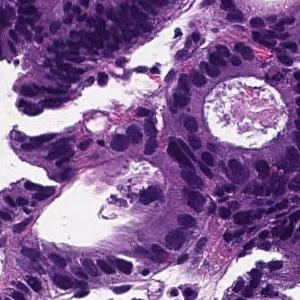
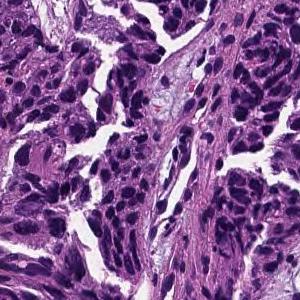
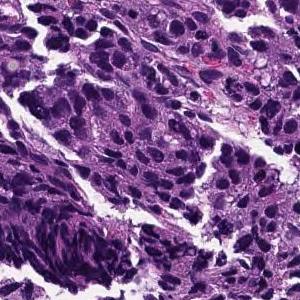
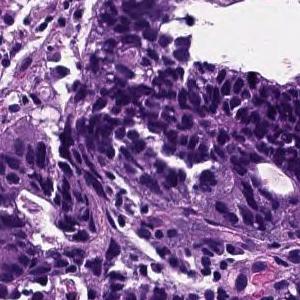
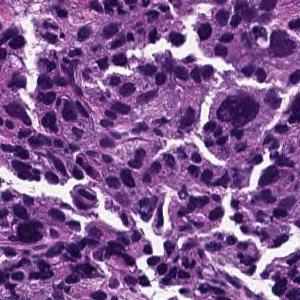
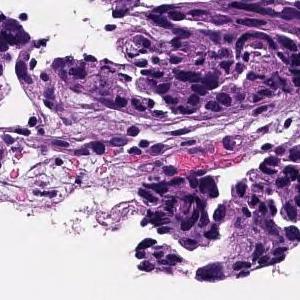
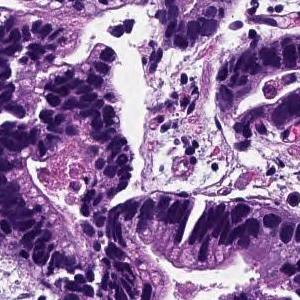
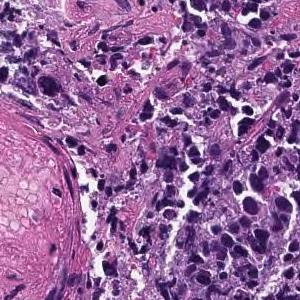
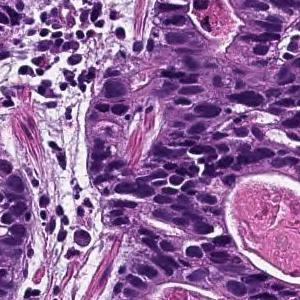
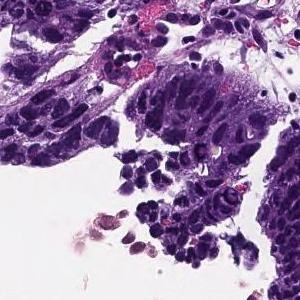
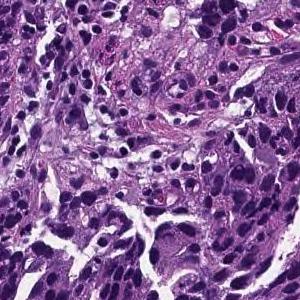
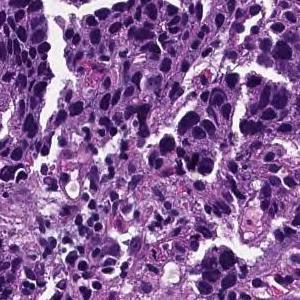
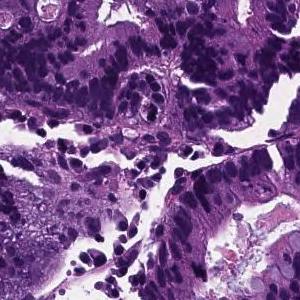
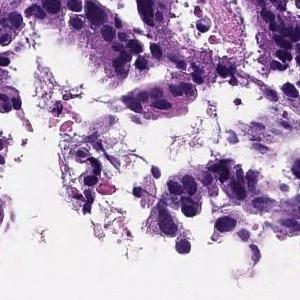
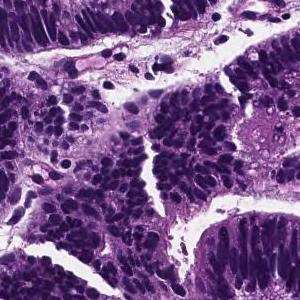
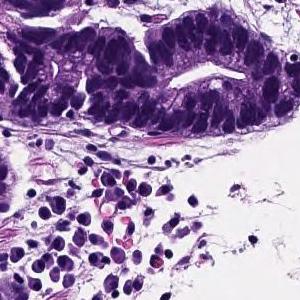
Hematoxylin and eosin stain; 16 image tiles from a single gastric biopsy slide.
Report on the slide these tiles come from. The report and the diagnosis describe the slide as a whole, so these tiles may not show every feature named and may include non-tumor tissue.
From the superficial epithelium to the muscularis mucosae, tumor tissue consisting of medium-sized and irregular glandular ducts infiltrating is observed. Well differentiated tubular adenocarcinoma
